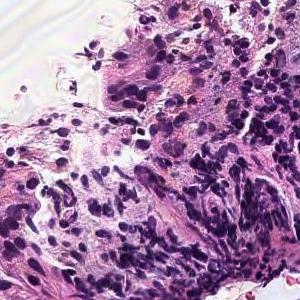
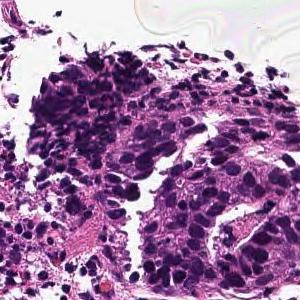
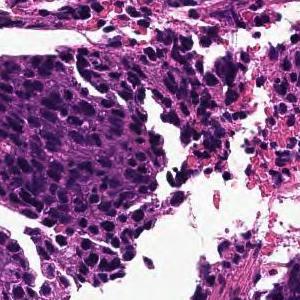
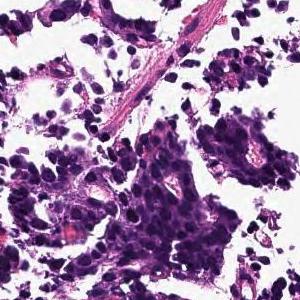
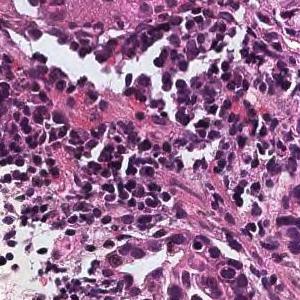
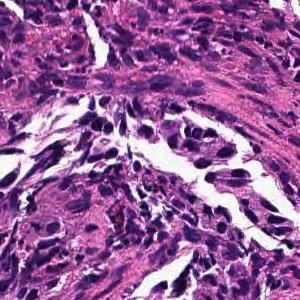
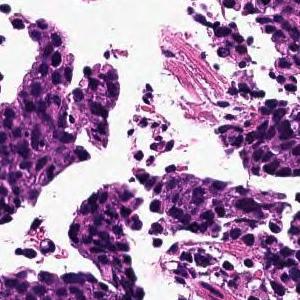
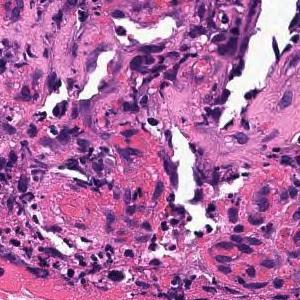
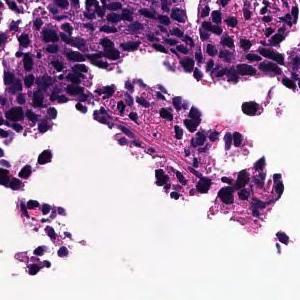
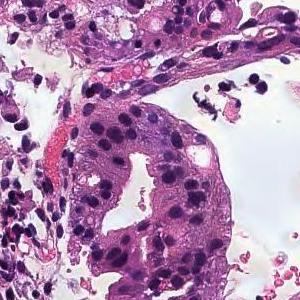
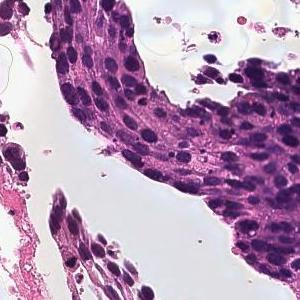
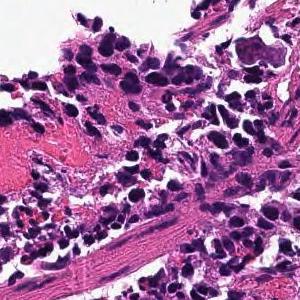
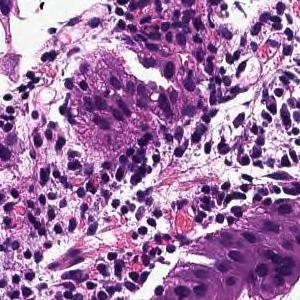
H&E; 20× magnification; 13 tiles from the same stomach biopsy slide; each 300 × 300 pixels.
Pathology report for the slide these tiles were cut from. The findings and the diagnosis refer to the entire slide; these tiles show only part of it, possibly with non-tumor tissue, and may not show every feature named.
In the superficial epithelium, tumor tissue that invades by forming medium-sized to small, irregular ducts is observed. moderately differentiated tubular adenocarcinoma.
